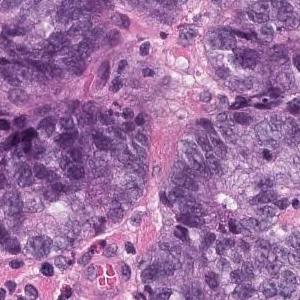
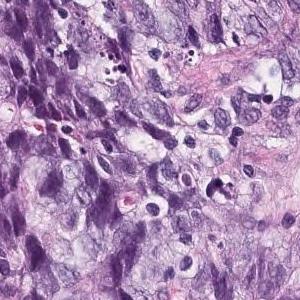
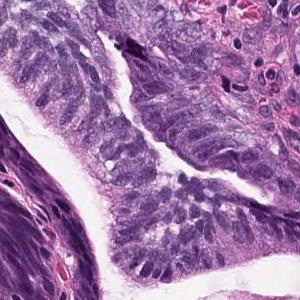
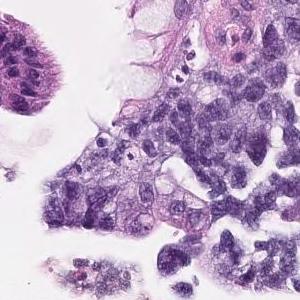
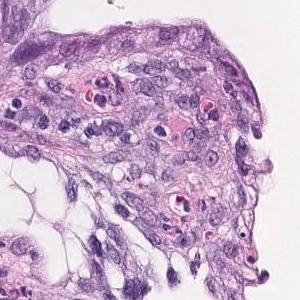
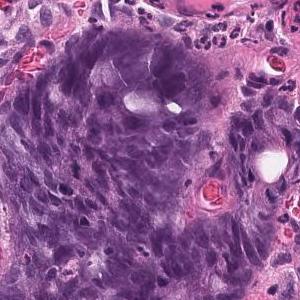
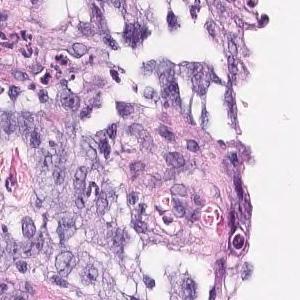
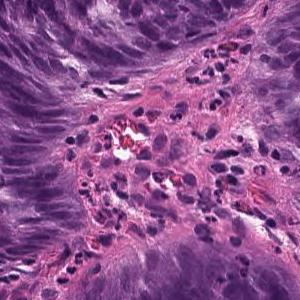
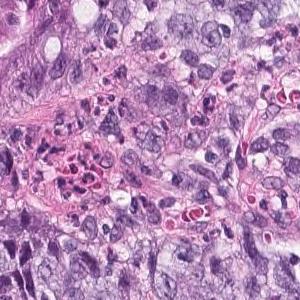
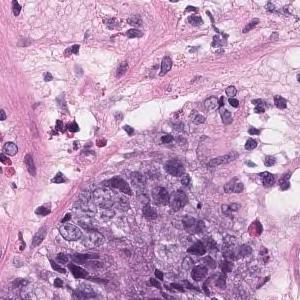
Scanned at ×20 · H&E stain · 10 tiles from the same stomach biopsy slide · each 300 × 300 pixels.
The pathologist's report on the biopsy slide these tiles were taken from. The findings and the diagnosis refer to the entire slide; these tiles show only part of it, possibly with non-tumor tissue, and may not show every feature named.
Large atypical epithelial cells with swollen atypical nuclei are seen proliferating into a tubular fusion gland. moderately differentiated tubular adenocarcinoma
